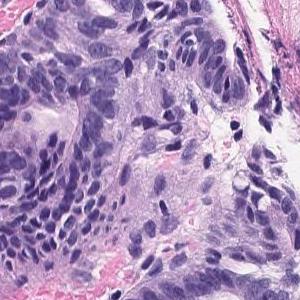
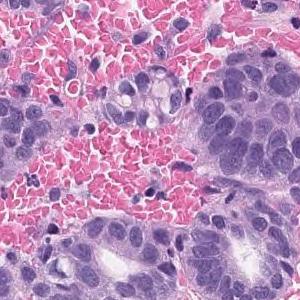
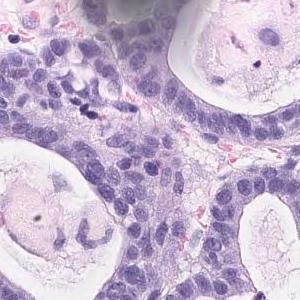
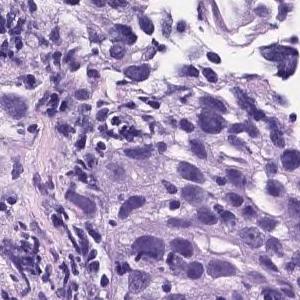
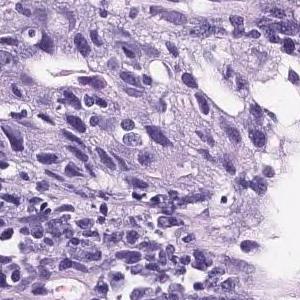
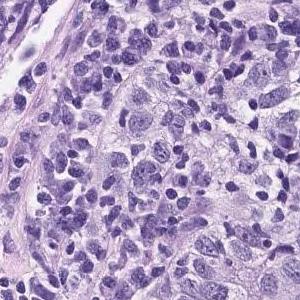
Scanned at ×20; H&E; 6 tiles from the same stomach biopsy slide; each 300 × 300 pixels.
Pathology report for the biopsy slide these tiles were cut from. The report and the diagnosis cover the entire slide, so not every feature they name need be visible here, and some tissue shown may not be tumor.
The superficial epithelium shows a large sheet-like shape, and some tumor tissue infiltrates with small irregular ducts. Poorly differentiated adenocarcinoma, solid-type
Classified as poorly differentiated adenocarcinoma, solid type (Japanese Classification of Gastric Carcinoma). The WHO 2019 equivalent is tubular adenocarcinoma, poorly differentiated.
